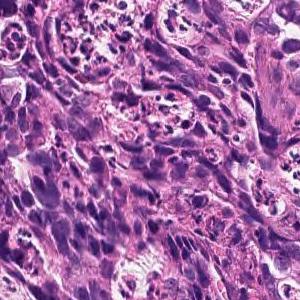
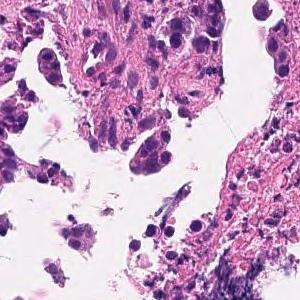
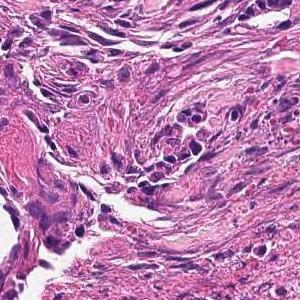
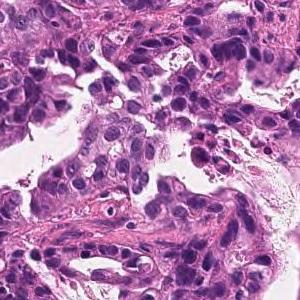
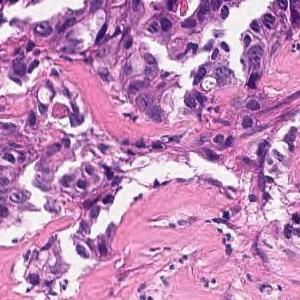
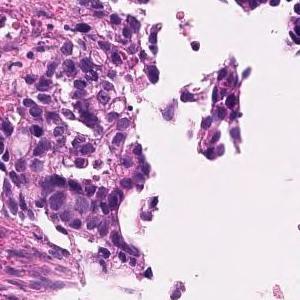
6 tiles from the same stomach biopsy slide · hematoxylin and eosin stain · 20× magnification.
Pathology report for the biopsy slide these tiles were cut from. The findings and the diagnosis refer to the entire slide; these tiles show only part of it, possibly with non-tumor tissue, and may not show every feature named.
On the superficial epithelium, tumor tissue consisting of images of small to medium-sized and irregular tubules infiltrating with irregular fusion is observed. moderately differentiated tubular adenocarcinoma
